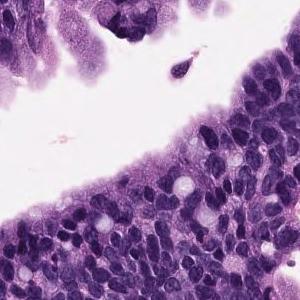
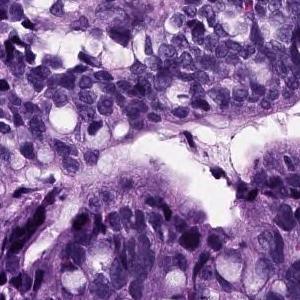
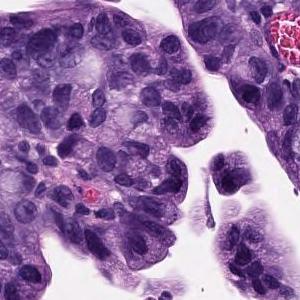
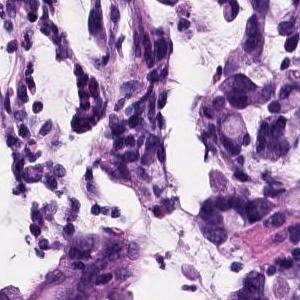
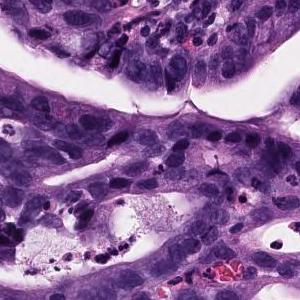
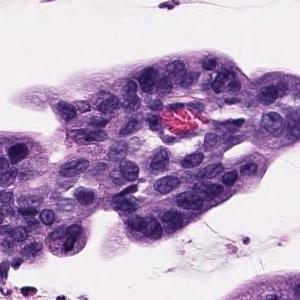
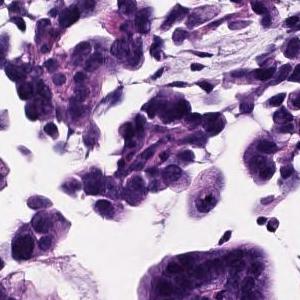
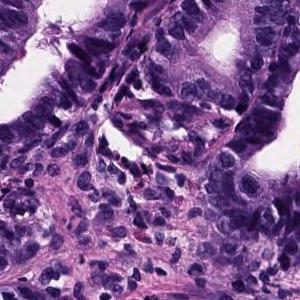
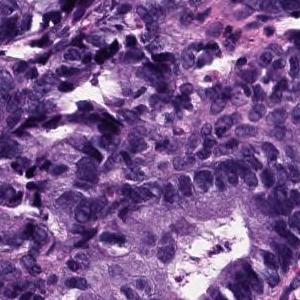
9 image tiles from a single gastric biopsy slide, each 300 × 300 pixels.
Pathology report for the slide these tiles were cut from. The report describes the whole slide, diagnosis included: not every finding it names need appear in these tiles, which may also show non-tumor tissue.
Atypical epithelium proliferating showing villus construction and irregular gland duct construction is observed. Moderately differentiated tubular adenocarcinoma.
